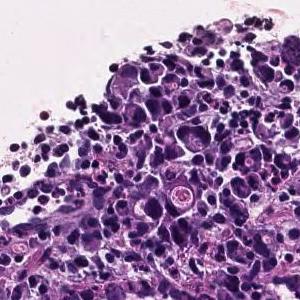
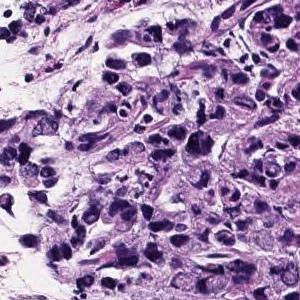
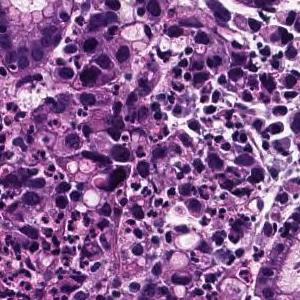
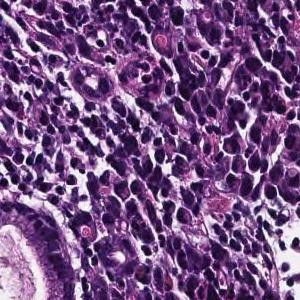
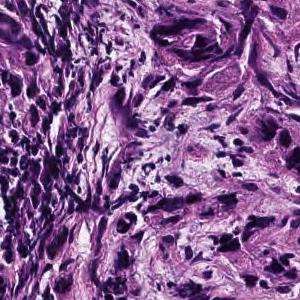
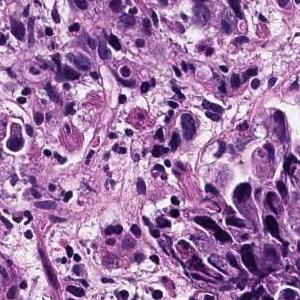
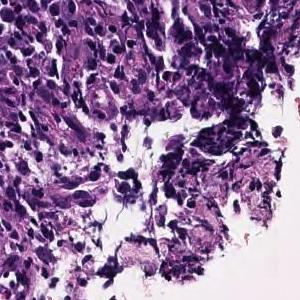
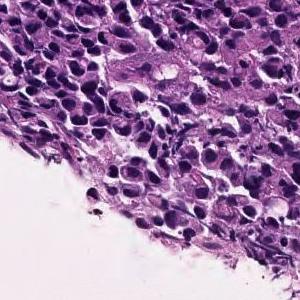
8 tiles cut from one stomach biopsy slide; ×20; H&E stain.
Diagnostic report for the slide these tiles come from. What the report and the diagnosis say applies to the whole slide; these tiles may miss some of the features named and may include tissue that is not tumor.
The superficial epithelium shows a large sheet-like shape, and some tumor tissue infiltrates with small irregular ducts. Poorly differentiated adenocarcinoma, solid-type
Tumor subtype: poorly differentiated adenocarcinoma, solid type, a category of the Japanese Classification of Gastric Carcinoma; in the WHO 2019 classification it is tubular adenocarcinoma, poorly differentiated.
